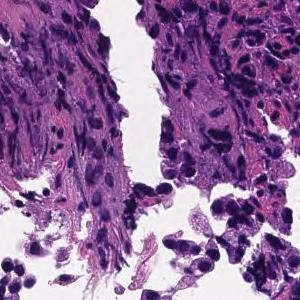
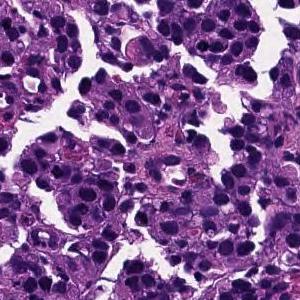
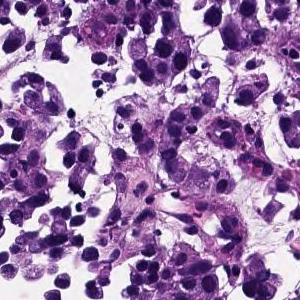
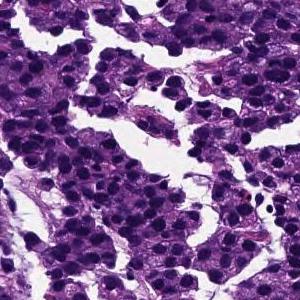
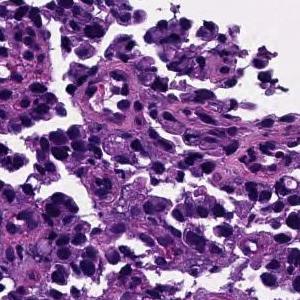
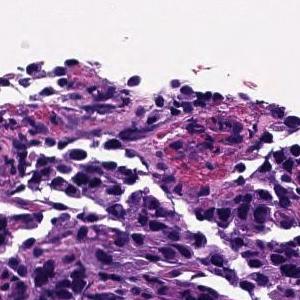
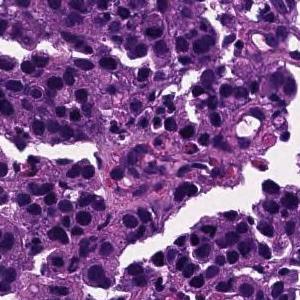
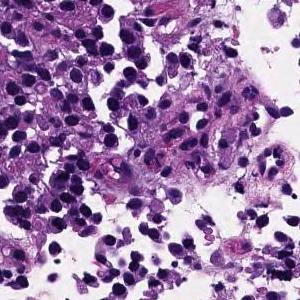
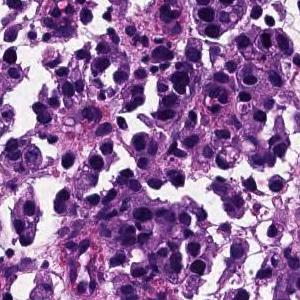
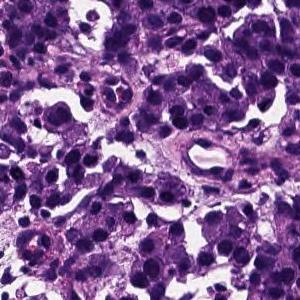
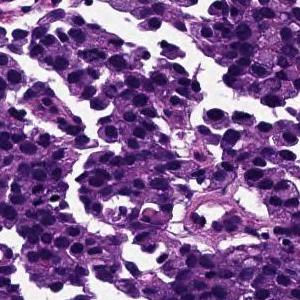
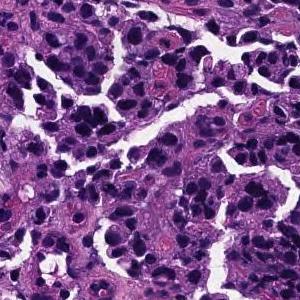
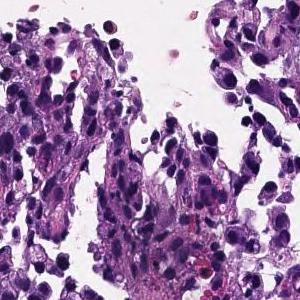
H&E · ×20 · 13 patches cut from one gastric biopsy slide.
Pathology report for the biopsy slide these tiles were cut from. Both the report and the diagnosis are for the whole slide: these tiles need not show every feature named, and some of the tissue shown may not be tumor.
The superficial epithelium shows a large alveolar shape and infiltrates tumor tissue. Poorly differentiated adenocarcinoma, solid-type
Histologic type: Poorly differentiated adenocarcinoma, solid type, a category of the Japanese Classification of Gastric Carcinoma; in the WHO 2019 classification it is tubular adenocarcinoma, poorly differentiated.
